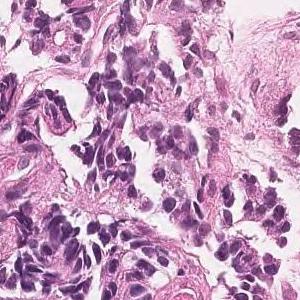
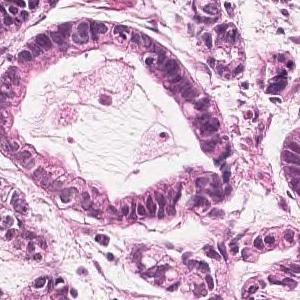
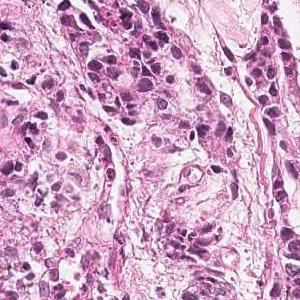
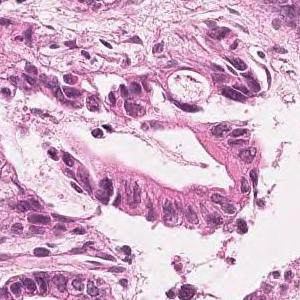
Hematoxylin and eosin stain · scanned at ×20 · 4 tiles from the same stomach biopsy slide · 300×300 px each.
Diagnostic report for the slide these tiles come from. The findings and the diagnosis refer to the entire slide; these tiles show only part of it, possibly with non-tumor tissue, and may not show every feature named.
On the superficial epithelium, tumor tissue consisting of large, irregular glandular ducts partially fused and infiltrated is observed. Well to moderately differentiated tubular adenocarcinoma (well differentiated tubular adenocarcinoma, moderately differentiated tubular adenocarcinoma)
Histologic type: Well to moderately differentiated tubular adenocarcinoma.
